7 patches cut from one gastric biopsy slide; 300 × 300 pixels each; H&E.
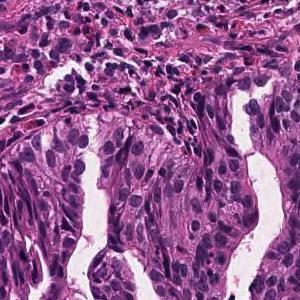
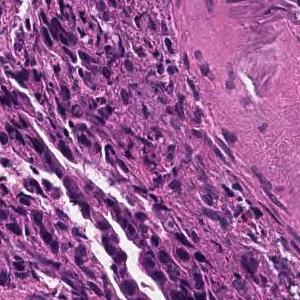
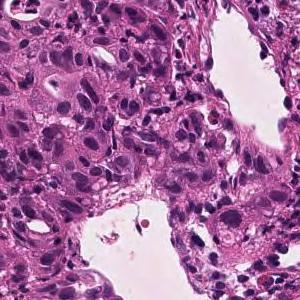
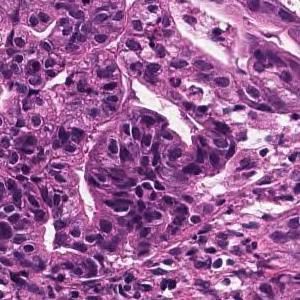
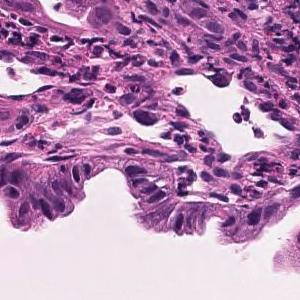
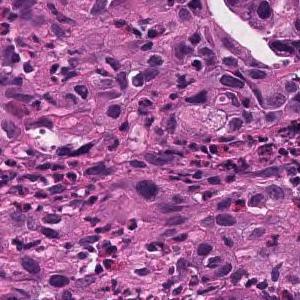
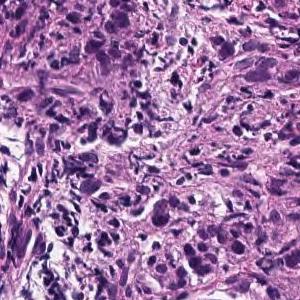
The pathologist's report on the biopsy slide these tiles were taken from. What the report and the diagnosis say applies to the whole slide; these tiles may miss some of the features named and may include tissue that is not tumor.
Tumor tissue consisting of medium-sized, cord-like or irregular glandular infiltration is observed in the superficial epithelium. Poorly differentiated adenocarcinoma, non-solid type or moderately differentiated tubular adenocarcinoma
The term "non-solid type" comes from the Japanese Classification of Gastric Carcinoma.
